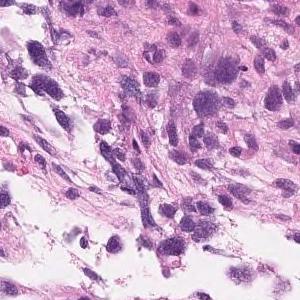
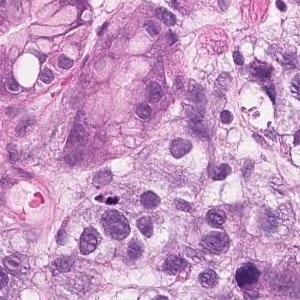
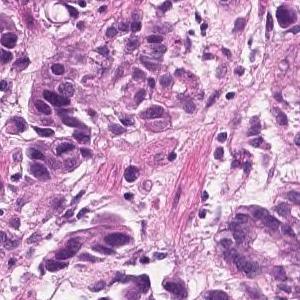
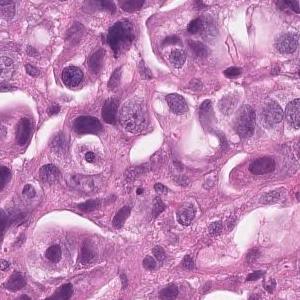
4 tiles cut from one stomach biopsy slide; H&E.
Diagnostic report for the slide these tiles come from. What the report and the diagnosis say applies to the whole slide; these tiles may miss some of the features named and may include tissue that is not tumor.
Tumor tissue that infiltrates the epithelium in an alveolar manner. Poorly differentiated adenocarcinoma, solid-type
Tumor subtype: poorly differentiated adenocarcinoma, solid type, a category of the Japanese Classification of Gastric Carcinoma; in the WHO 2019 classification it is tubular adenocarcinoma, poorly differentiated.
